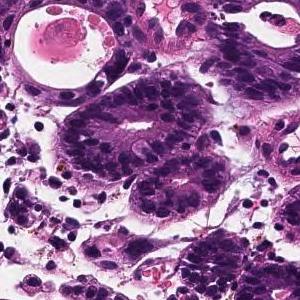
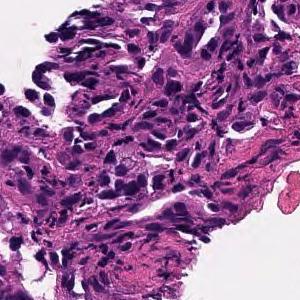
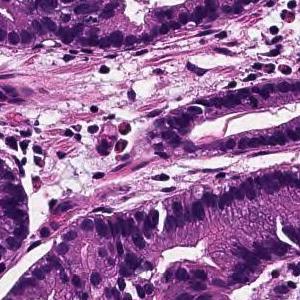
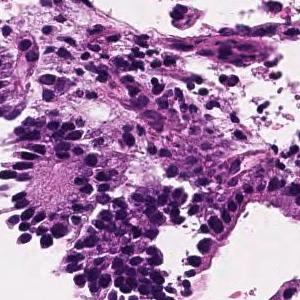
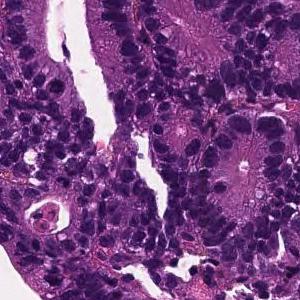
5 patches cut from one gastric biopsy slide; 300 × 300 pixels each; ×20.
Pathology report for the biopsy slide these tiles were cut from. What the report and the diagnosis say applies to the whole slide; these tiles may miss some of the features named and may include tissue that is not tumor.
From the superficial epithelium to the muscularis mucosae, tumor tissue consisting of medium-sized and irregular glandular ducts infiltrating is observed. Well differentiated tubular adenocarcinoma
